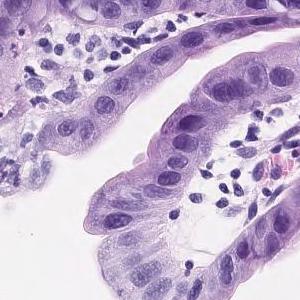
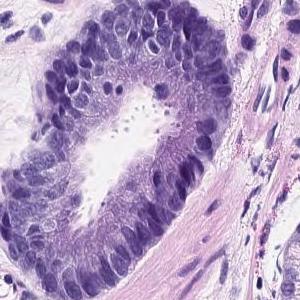
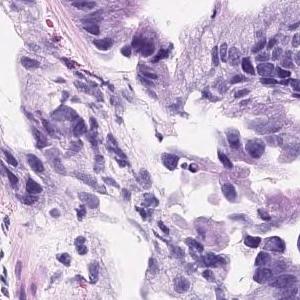
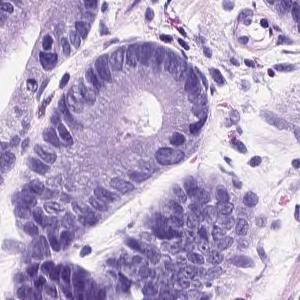
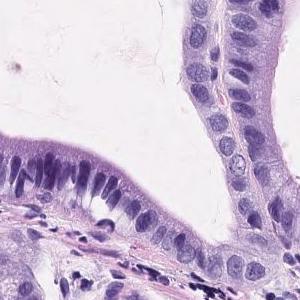
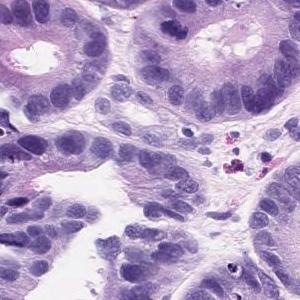
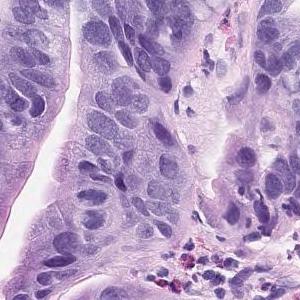
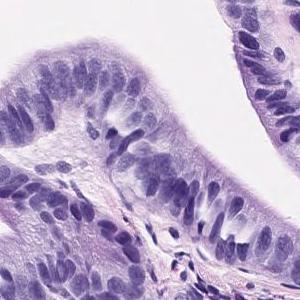
H&E, ×20, 8 patches cut from one gastric biopsy slide.
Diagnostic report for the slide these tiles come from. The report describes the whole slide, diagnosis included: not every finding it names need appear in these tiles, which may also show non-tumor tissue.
Atypical epithelium showing strong cell atypia densely forming and proliferating medium to large ducts is observed. Well differentiated tubular adenocarcinoma.
